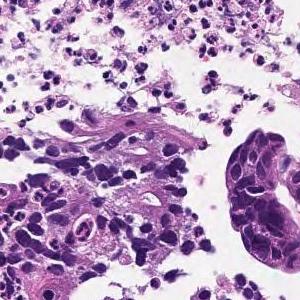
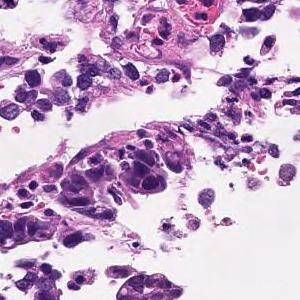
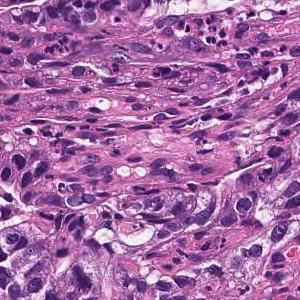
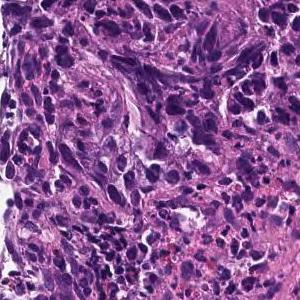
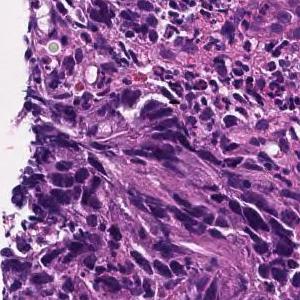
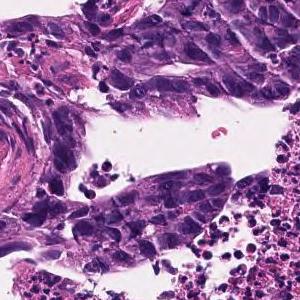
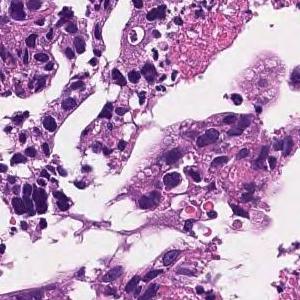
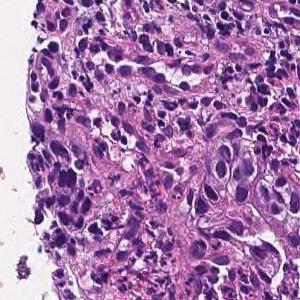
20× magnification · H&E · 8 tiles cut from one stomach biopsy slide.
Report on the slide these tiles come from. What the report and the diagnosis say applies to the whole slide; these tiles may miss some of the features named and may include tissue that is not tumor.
In the superficial epithelium, tumor tissue that invades by forming medium-sized to small, irregular ducts is observed. Moderately differentiated adenocarcinoma.
Histological subtype: Moderately differentiated tubular adenocarcinoma.
